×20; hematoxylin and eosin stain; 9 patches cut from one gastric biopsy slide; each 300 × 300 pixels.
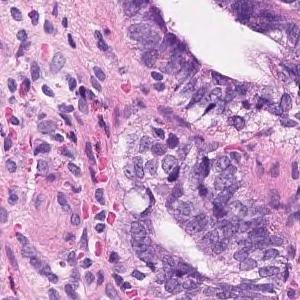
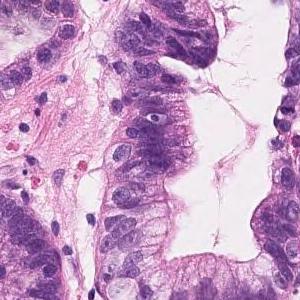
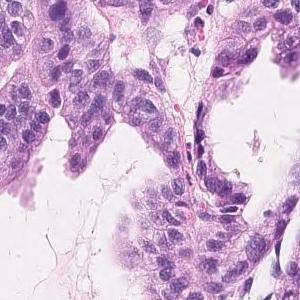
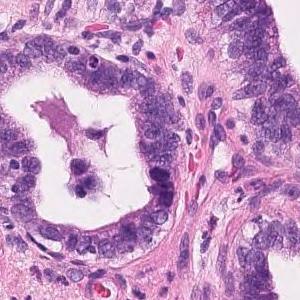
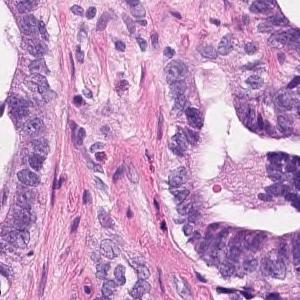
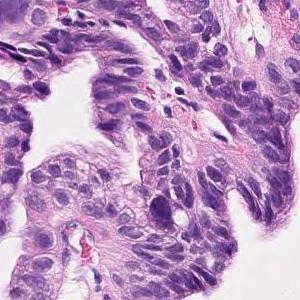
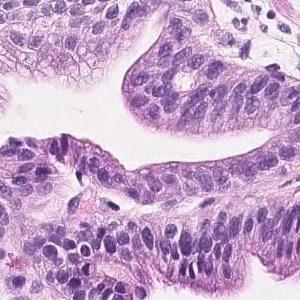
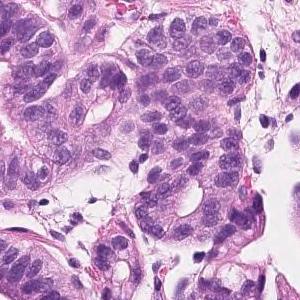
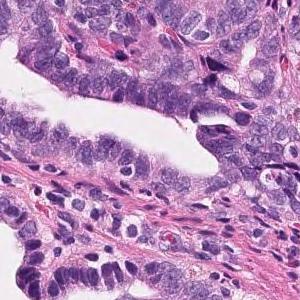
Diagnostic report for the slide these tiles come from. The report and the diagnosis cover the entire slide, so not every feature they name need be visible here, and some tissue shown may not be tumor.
Tumor cells are large, highly columnar, large club-shaped nuclei, and are associated with chromatin aggregation. Papillary adenocarcinoma.
